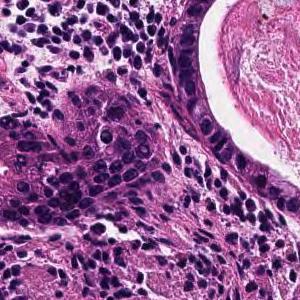
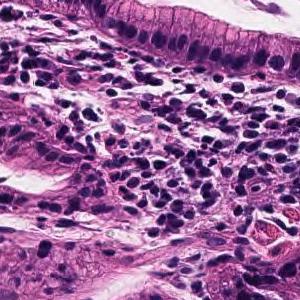
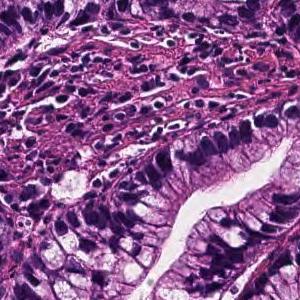
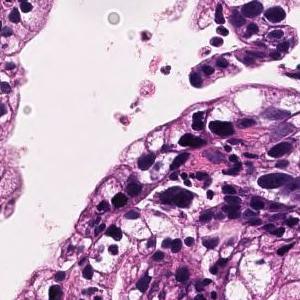
×20 · 4 image tiles from a single gastric biopsy slide · each 300 × 300 pixels.
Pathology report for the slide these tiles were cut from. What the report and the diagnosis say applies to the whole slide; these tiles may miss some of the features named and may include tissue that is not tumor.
Tumor cells are large, highly columnar, large club-shaped nuclei, and are associated with chromatin aggregation. Papillary adenocarcinoma.
